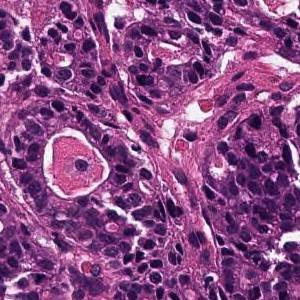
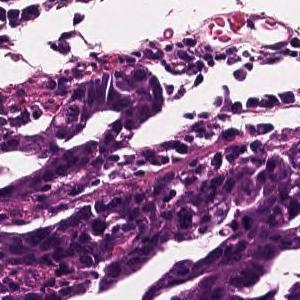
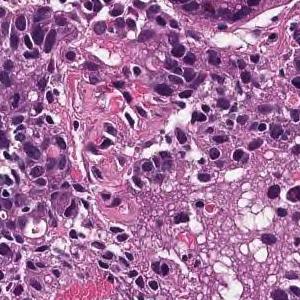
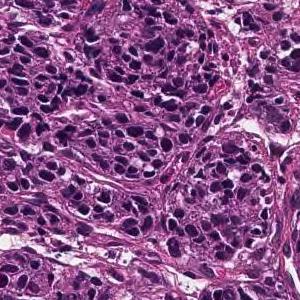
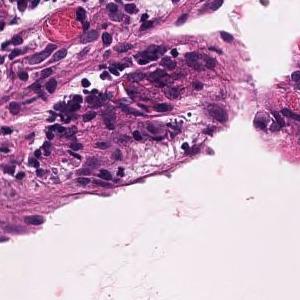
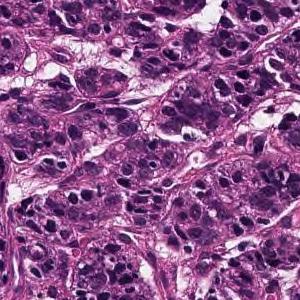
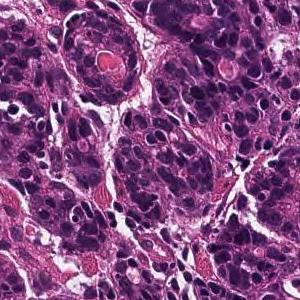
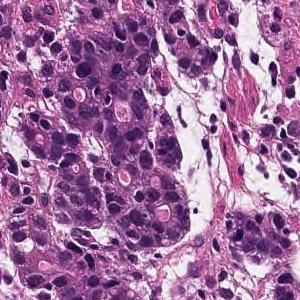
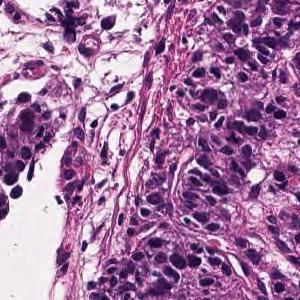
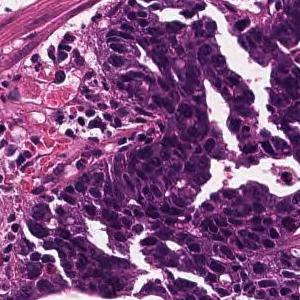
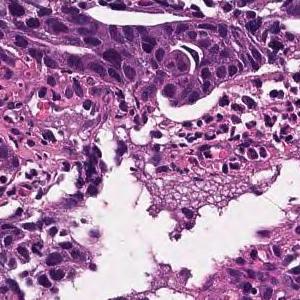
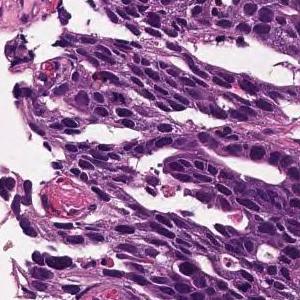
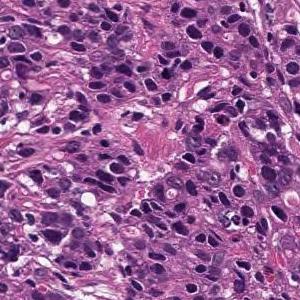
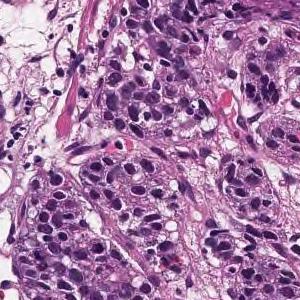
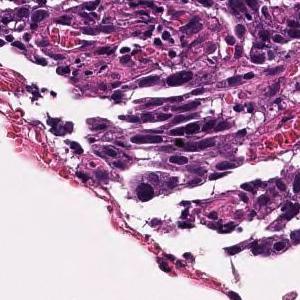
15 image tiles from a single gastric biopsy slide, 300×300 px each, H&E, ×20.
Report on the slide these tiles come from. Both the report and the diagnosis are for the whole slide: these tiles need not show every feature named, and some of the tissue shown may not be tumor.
Medium to small, irregular glandular ducts are formed in the superficial epithelium, and in some cases, the glandular ducts are fused to show solid alveolar lesions and infiltrating tumor tissue is observed. Moderately to poorly differentiated adenocarcinoma.
